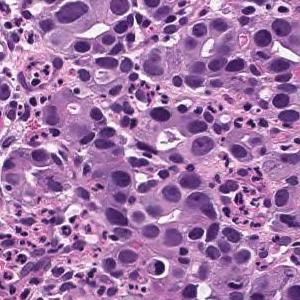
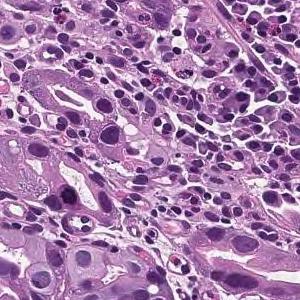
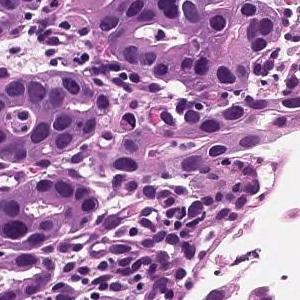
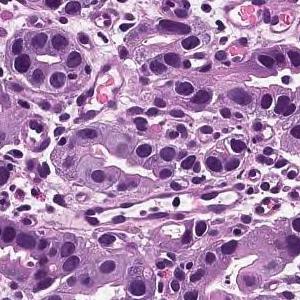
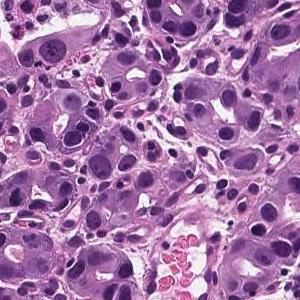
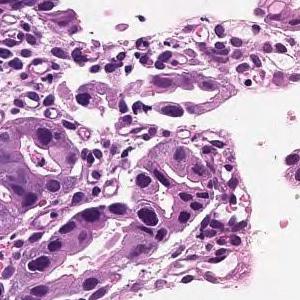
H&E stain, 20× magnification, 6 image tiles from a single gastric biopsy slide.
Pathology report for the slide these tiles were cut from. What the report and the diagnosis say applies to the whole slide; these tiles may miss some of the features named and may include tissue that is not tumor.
The superficial epithelium shows a large sheet or alveolar shape, and tumor tissue infiltrating without irregular ducts is observed. Poorly differentiated adenocarcinoma, solid-type
Histological subtype: Poorly differentiated adenocarcinoma, solid type (Japanese Classification of Gastric Carcinoma). The WHO 2019 equivalent is tubular adenocarcinoma, poorly differentiated.
